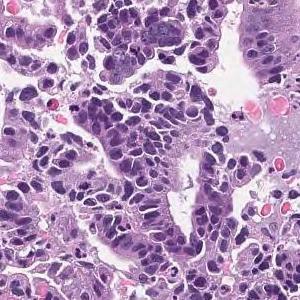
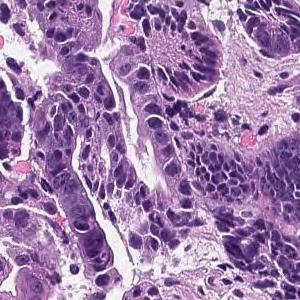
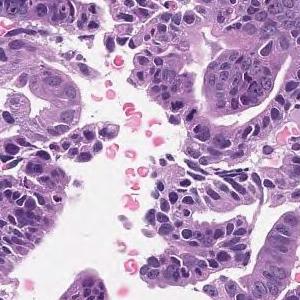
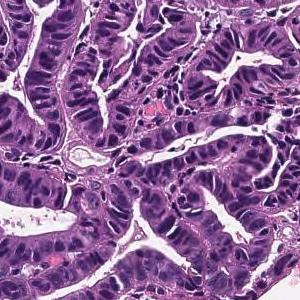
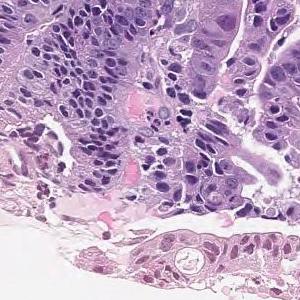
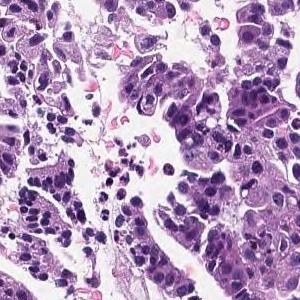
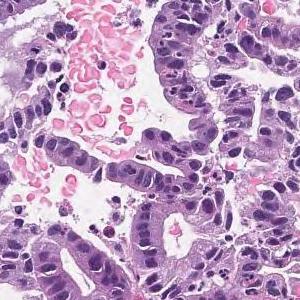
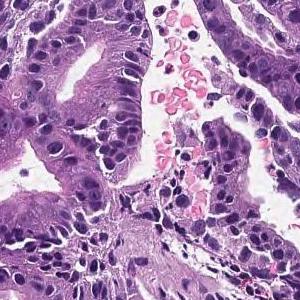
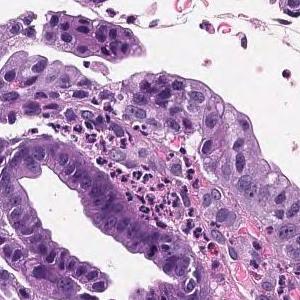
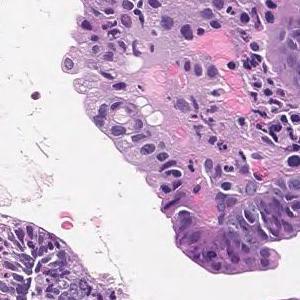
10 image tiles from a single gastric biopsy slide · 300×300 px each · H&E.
Pathology report for the slide these tiles were cut from. The report and the diagnosis describe the slide as a whole, so these tiles may not show every feature named and may include non-tumor tissue.
Tumor cells are large, highly columnar, large club-shaped nuclei, and are associated with chromatin aggregation. Papillary adenocarcinoma.
